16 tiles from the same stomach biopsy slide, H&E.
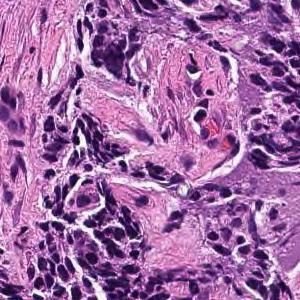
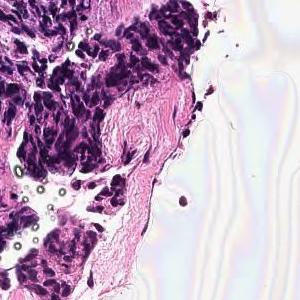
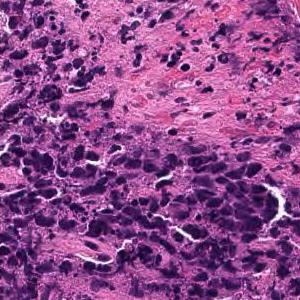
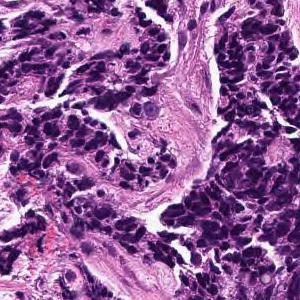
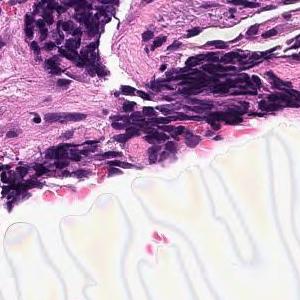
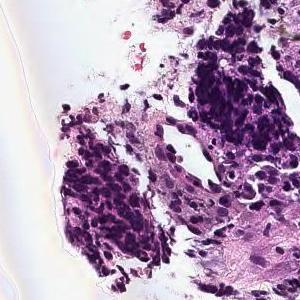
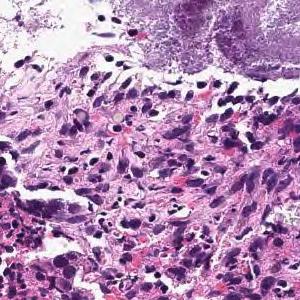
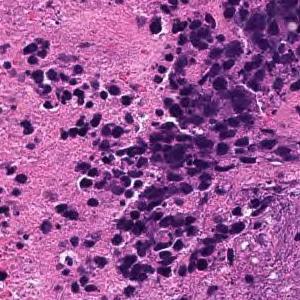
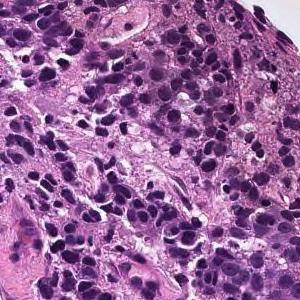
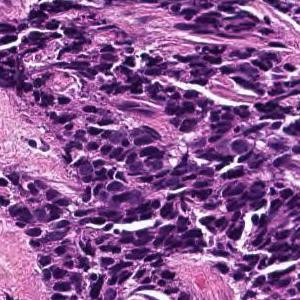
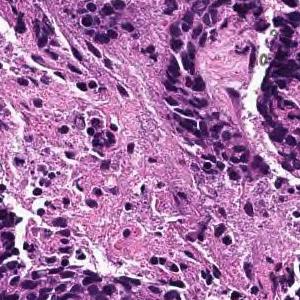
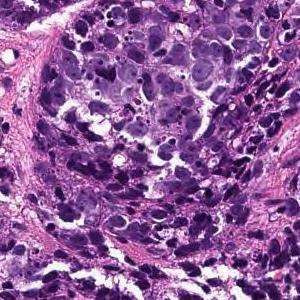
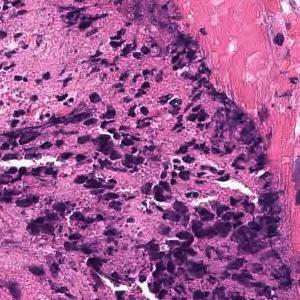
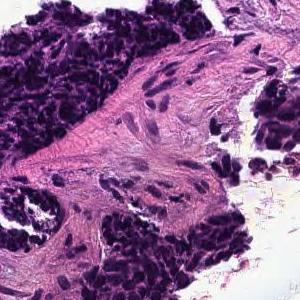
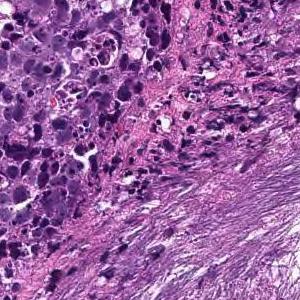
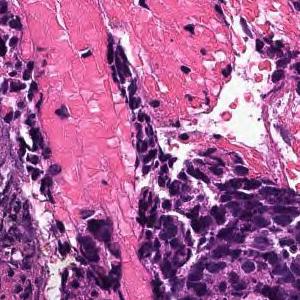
Pathology report for the slide these tiles were cut from. What the report and the diagnosis say applies to the whole slide; these tiles may miss some of the features named and may include tissue that is not tumor.
The superficial epithelium shows a large sheet or alveolar shape, and tumor tissue infiltrating without irregular ducts is observed. Poorly differentiated adenocarcinoma, solid-type
Histological subtype: Poorly differentiated adenocarcinoma, solid type, a category of the Japanese Classification of Gastric Carcinoma; in the WHO 2019 classification it is tubular adenocarcinoma, poorly differentiated.
